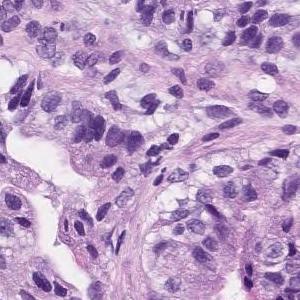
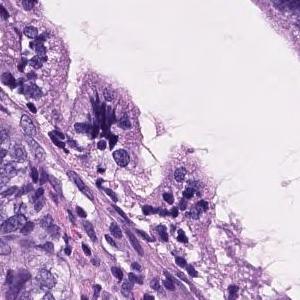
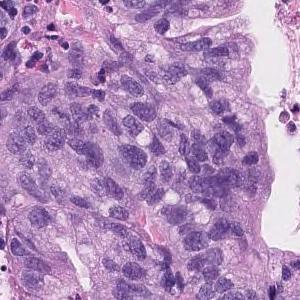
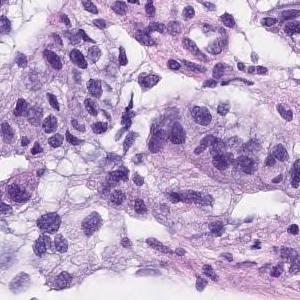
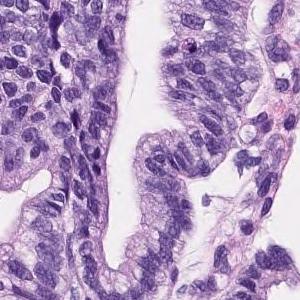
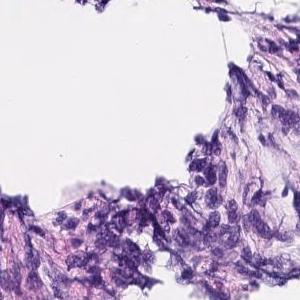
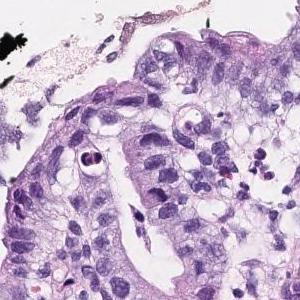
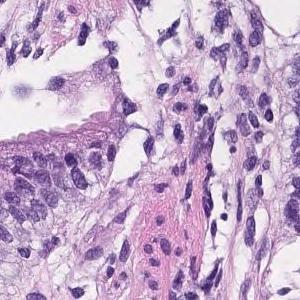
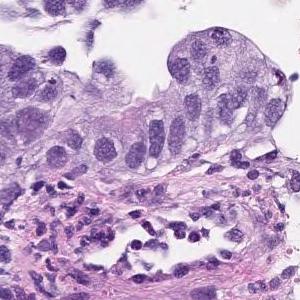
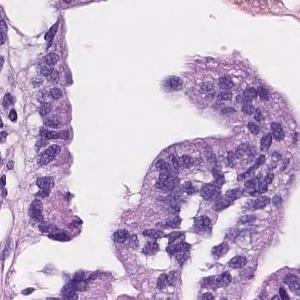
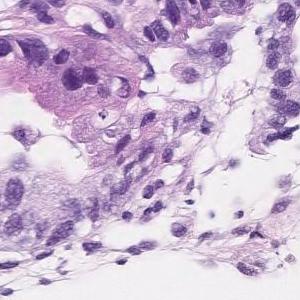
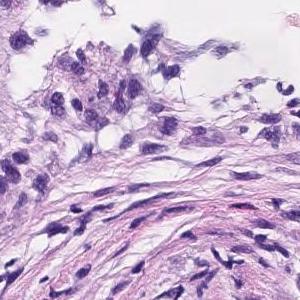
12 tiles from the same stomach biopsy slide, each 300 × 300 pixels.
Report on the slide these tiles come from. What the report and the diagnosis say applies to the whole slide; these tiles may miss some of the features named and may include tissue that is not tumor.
Tumor cells are large, highly columnar, large club-shaped nuclei, and are associated with chromatin aggregation. Papillary adenocarcinoma.
